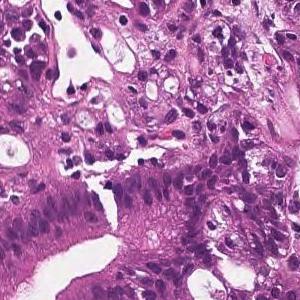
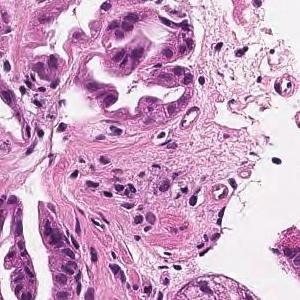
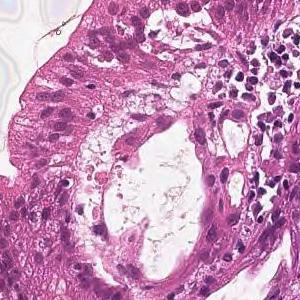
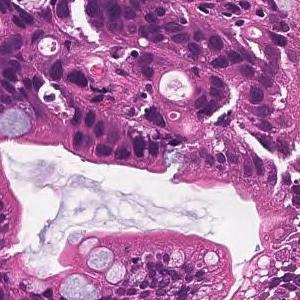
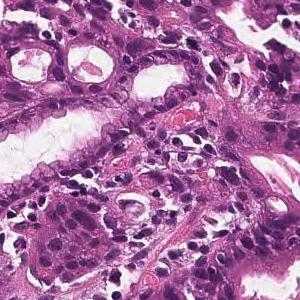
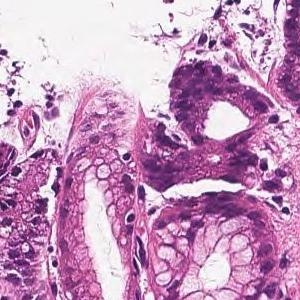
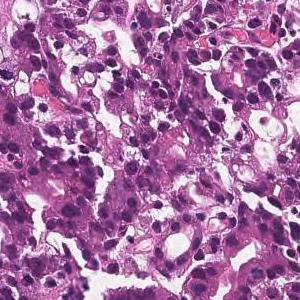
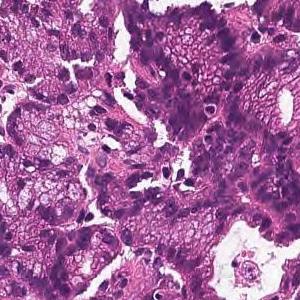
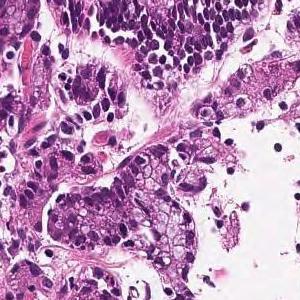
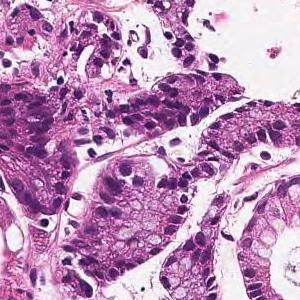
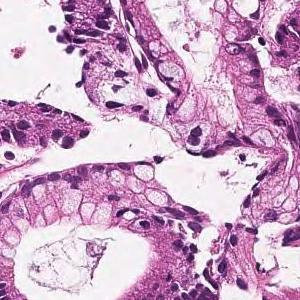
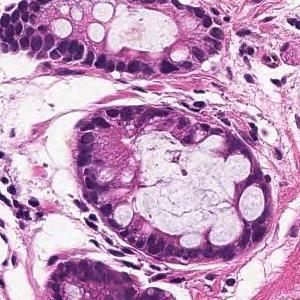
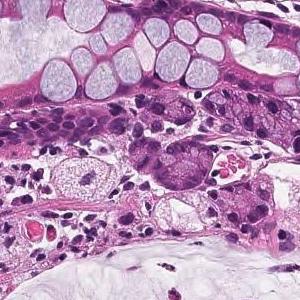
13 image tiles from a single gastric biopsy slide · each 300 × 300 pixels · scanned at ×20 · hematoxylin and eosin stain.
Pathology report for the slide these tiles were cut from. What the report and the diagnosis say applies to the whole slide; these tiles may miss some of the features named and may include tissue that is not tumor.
In the superficial epithelium, tumor tissue that invades by forming medium-sized to small, irregular ducts is observed. moderately differentiated tubular adenocarcinoma.
